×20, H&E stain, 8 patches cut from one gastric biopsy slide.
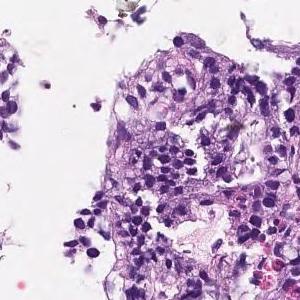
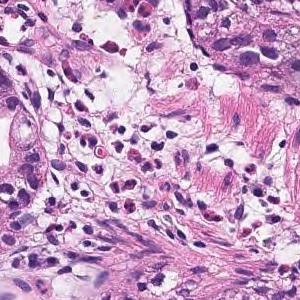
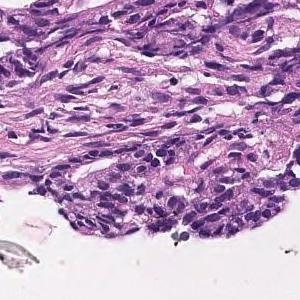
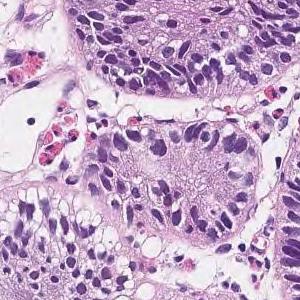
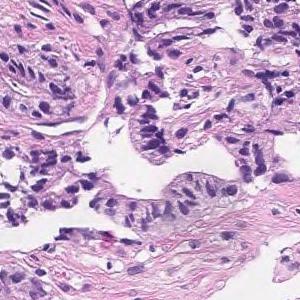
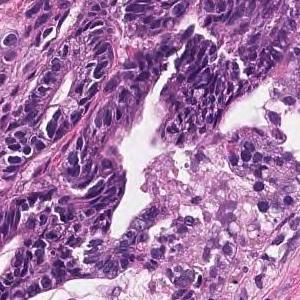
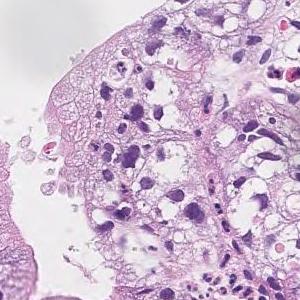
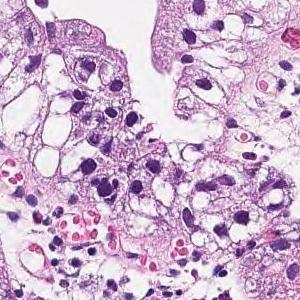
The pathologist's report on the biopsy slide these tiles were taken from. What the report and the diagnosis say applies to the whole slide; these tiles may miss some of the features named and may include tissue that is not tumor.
In the superficial epithelium, tumor tissue that invades by forming medium-sized to small, irregular ducts is observed. Moderately differentiated adenocarcinoma.
Tumor subtype: moderately differentiated tubular adenocarcinoma.
